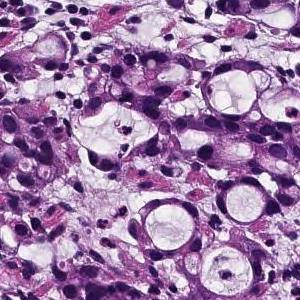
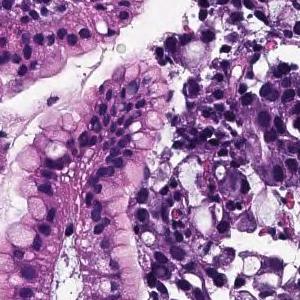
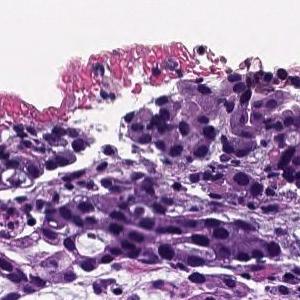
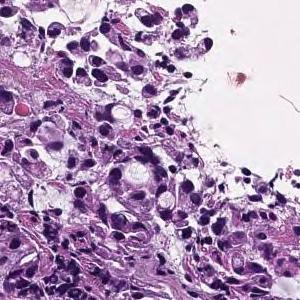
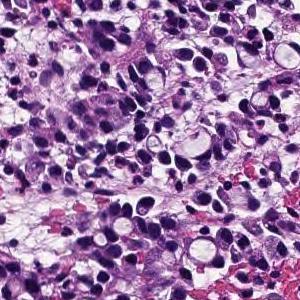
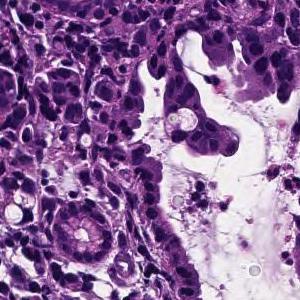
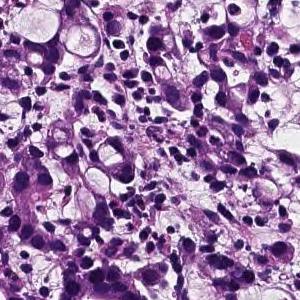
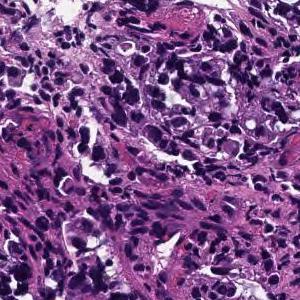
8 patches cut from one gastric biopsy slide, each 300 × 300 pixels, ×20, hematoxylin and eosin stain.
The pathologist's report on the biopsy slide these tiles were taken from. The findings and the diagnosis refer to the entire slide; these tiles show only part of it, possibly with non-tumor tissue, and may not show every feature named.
Tumor tissue consisting of cord-like or small, irregular glandular ducts fused and infiltrated is observed in the superficial epithelium. Poorly differentiated adenocarcinoma, non-solid type
The term "non-solid type" comes from the Japanese Classification of Gastric Carcinoma.
